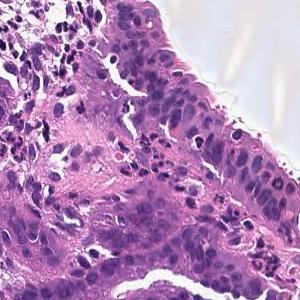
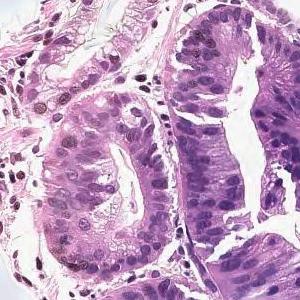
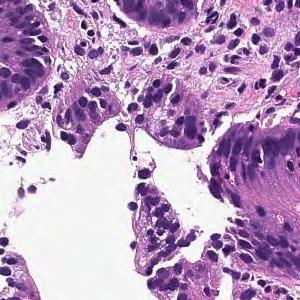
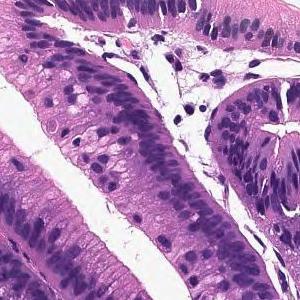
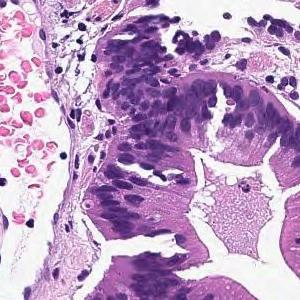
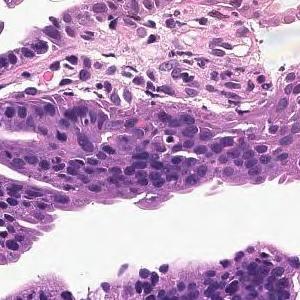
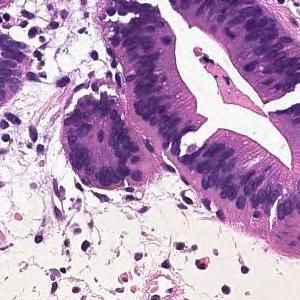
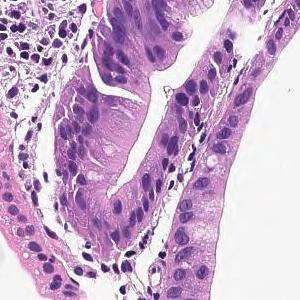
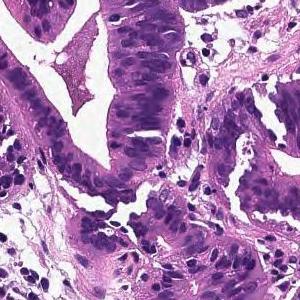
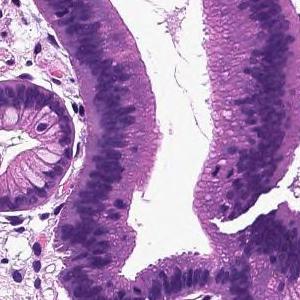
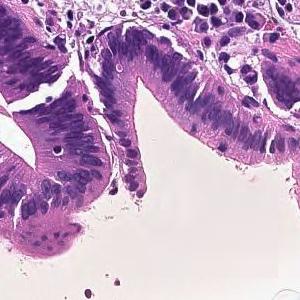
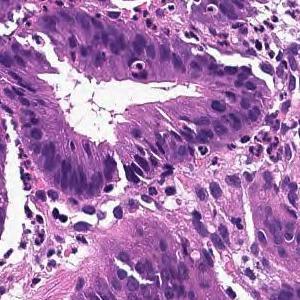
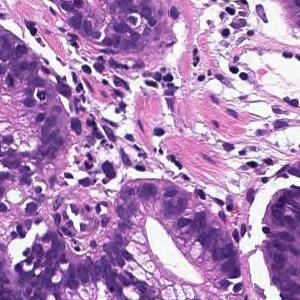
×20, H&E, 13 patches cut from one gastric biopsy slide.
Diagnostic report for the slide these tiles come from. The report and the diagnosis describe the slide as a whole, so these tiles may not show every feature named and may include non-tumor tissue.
Infiltrating tumor tissue is observed in the superficial epithelium, showing large papillary structures or large and small ducts. Papillary adenocarcinoma
